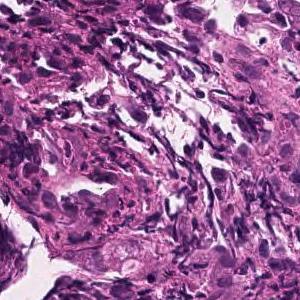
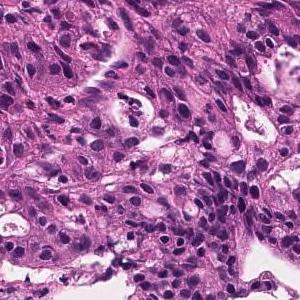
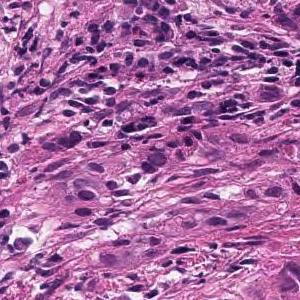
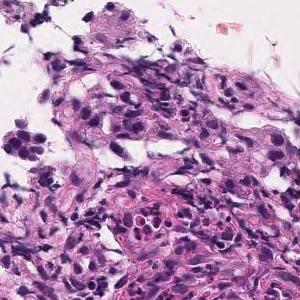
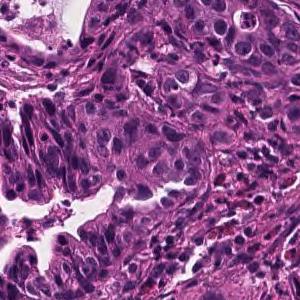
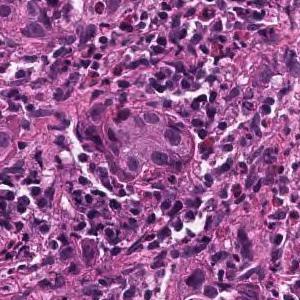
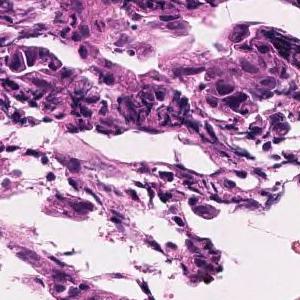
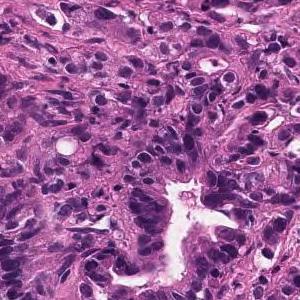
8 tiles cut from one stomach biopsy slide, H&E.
Pathology report for the biopsy slide these tiles were cut from. Both the report and the diagnosis are for the whole slide: these tiles need not show every feature named, and some of the tissue shown may not be tumor.
Tumor tissue consisting of medium-sized, cord-like or irregular glandular infiltration is observed in the superficial epithelium. Poorly differentiated adenocarcinoma, non-solid type or moderately differentiated tubular adenocarcinoma
The non-solid type named here is a Japanese Classification of Gastric Carcinoma category.
